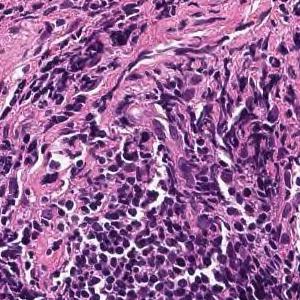
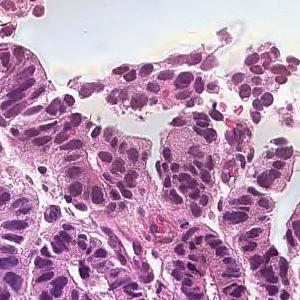
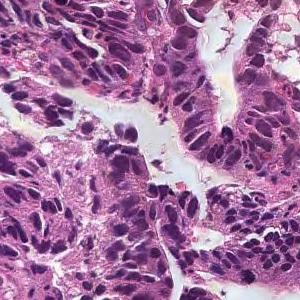
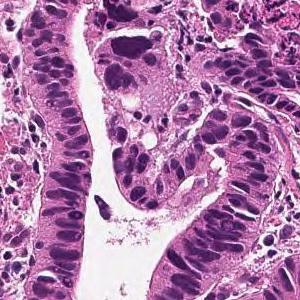
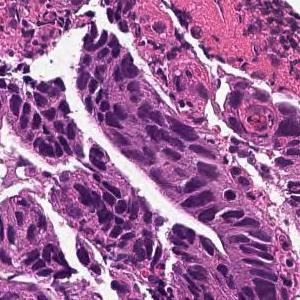
Hematoxylin and eosin stain · 20× magnification · 5 tiles cut from one stomach biopsy slide · each 300 × 300 pixels.
Diagnostic report for the slide these tiles come from. Both the report and the diagnosis are for the whole slide: these tiles need not show every feature named, and some of the tissue shown may not be tumor.
From the superficial epithelium to the muscularis mucosae, tumor tissue consisting of medium-sized and irregular glandular ducts infiltrating is observed. Well differentiated tubular adenocarcinoma
